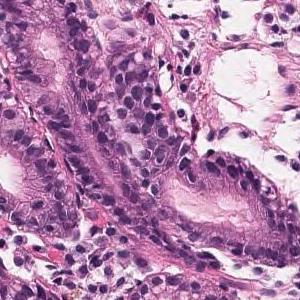
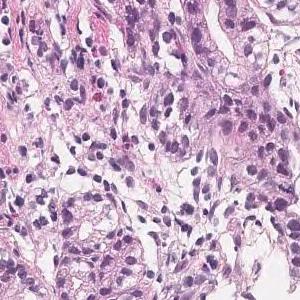
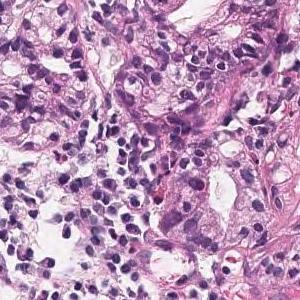
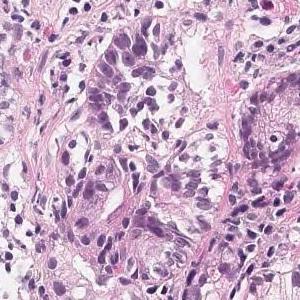
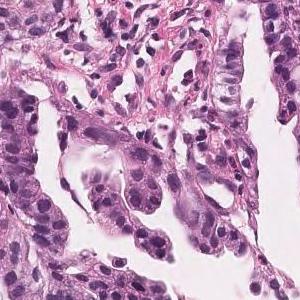
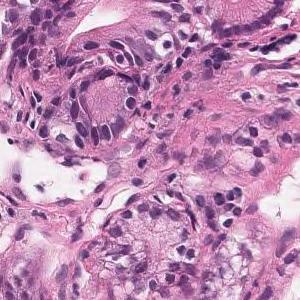
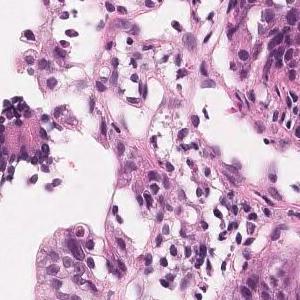
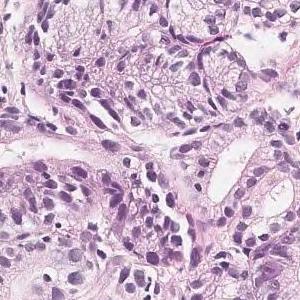
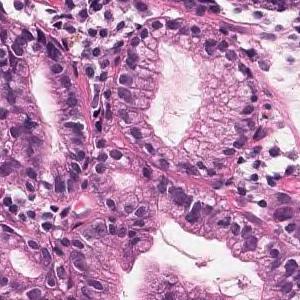
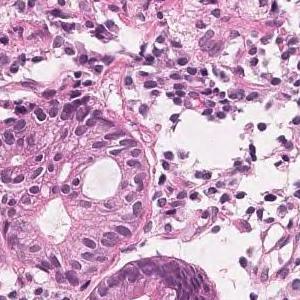
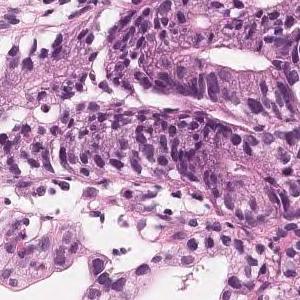
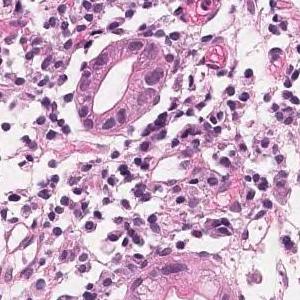
H&E stain; 20× magnification; 12 patches cut from one gastric biopsy slide; 300 × 300 pixels each.
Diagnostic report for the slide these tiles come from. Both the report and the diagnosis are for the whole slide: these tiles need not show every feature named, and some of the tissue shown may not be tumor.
Proliferation of atypical glandular ducts that fuse and show a sieving structure is observed. moderately differentiated tubular adenocarcinoma
